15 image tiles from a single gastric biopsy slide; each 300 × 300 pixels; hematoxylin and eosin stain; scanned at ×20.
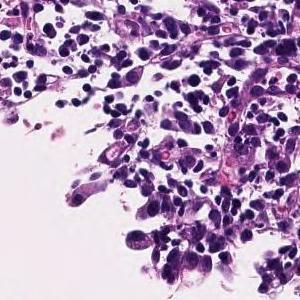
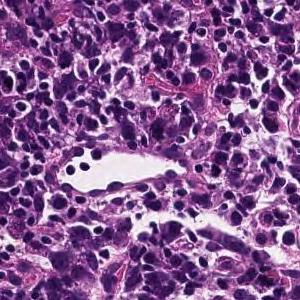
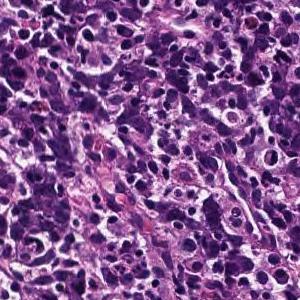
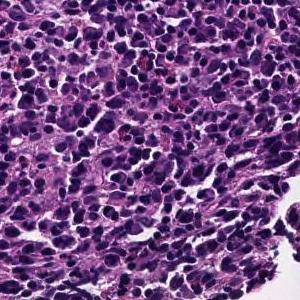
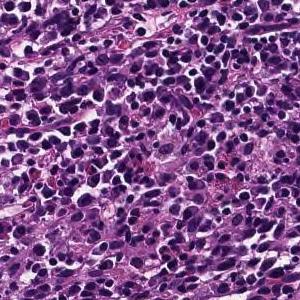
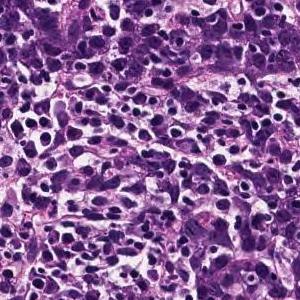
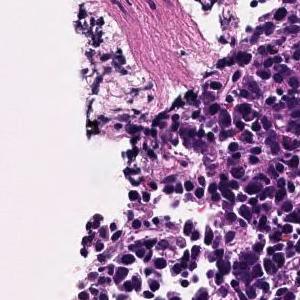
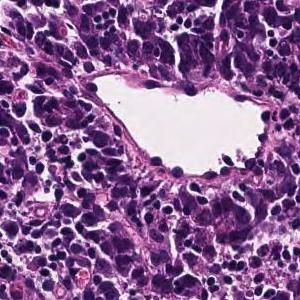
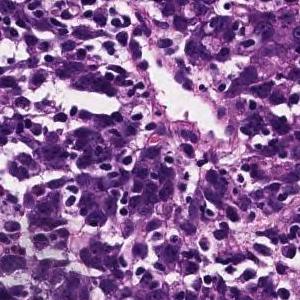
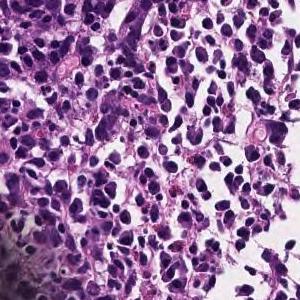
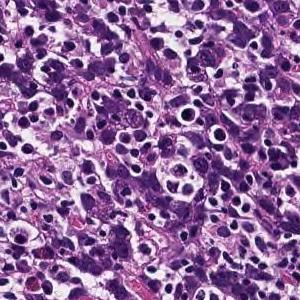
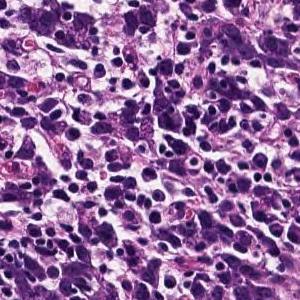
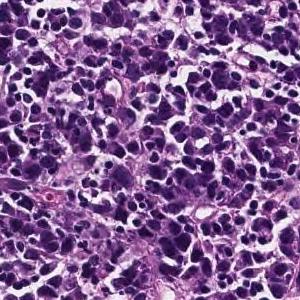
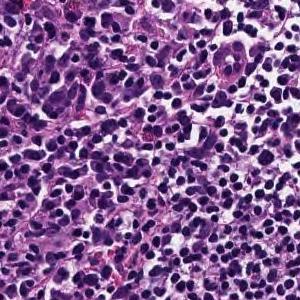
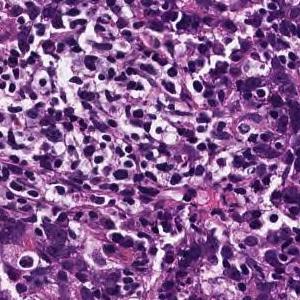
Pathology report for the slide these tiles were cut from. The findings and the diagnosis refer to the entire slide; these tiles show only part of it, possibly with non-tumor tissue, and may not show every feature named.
Tumor tissue consisting of cord-like or small, irregular glandular ducts fused and infiltrated is observed in the superficial epithelium. Poorly differentiated adenocarcinoma, non-solid type
"Non-solid type" is a category of the Japanese Classification of Gastric Carcinoma.
